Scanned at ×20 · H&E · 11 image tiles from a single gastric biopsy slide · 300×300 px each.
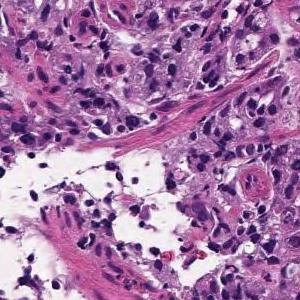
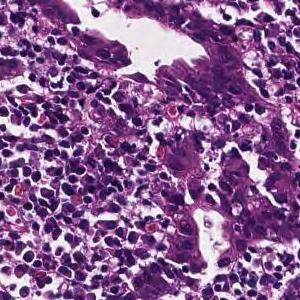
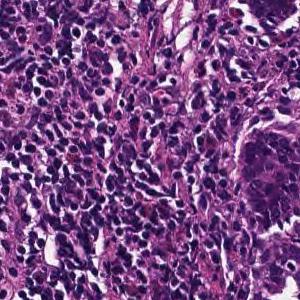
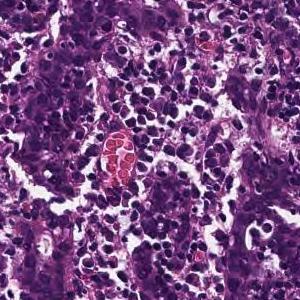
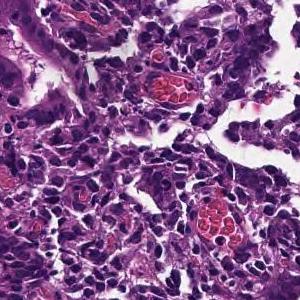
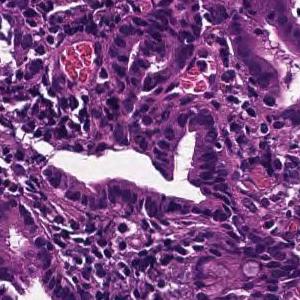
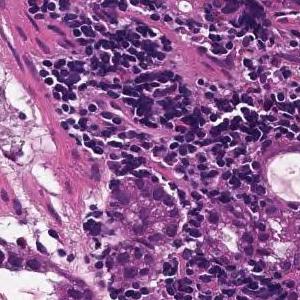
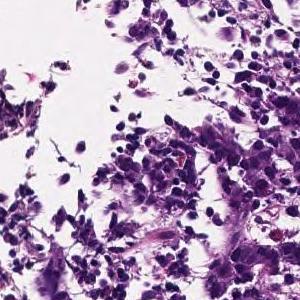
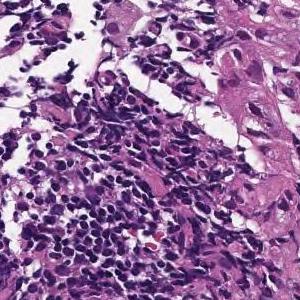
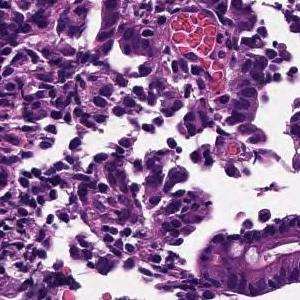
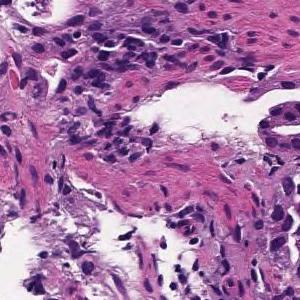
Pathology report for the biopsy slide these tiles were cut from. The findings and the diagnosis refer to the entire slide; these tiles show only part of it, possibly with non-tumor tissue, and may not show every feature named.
Tumor tissue consisting of medium-sized, cord-like or irregular glandular infiltration is observed in the superficial epithelium. Poorly differentiated adenocarcinoma, non-solid type or moderately differentiated tubular adenocarcinoma
Tumor subtype: moderately to poorly differentiated adenocarcinoma.
"Non-solid type" is a category of the Japanese Classification of Gastric Carcinoma.
